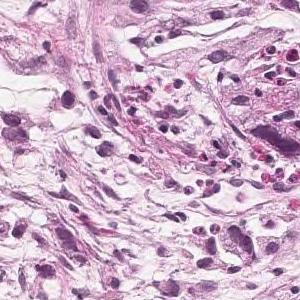
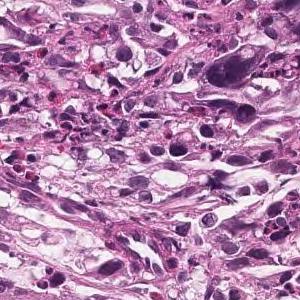
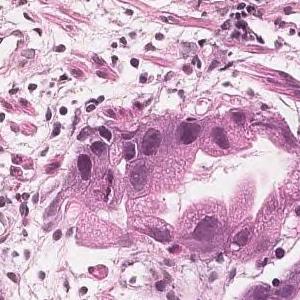
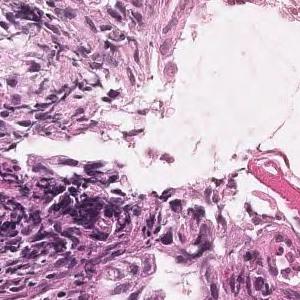
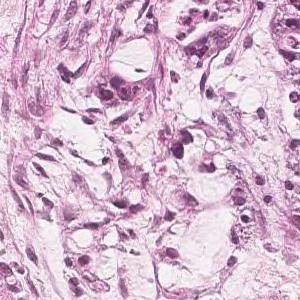
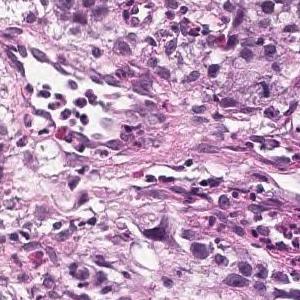
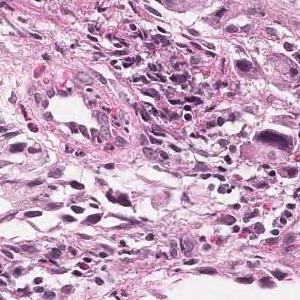
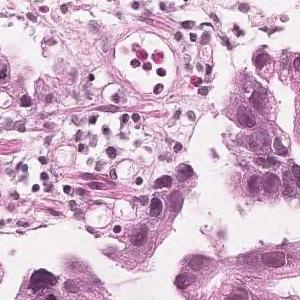
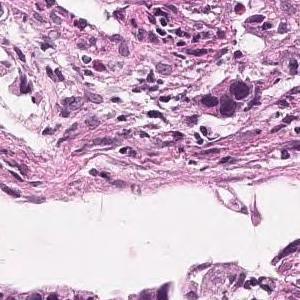
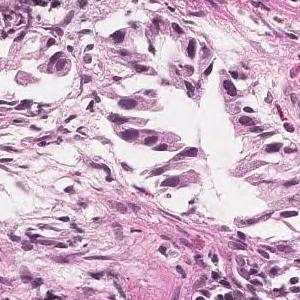
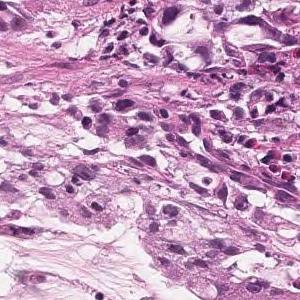
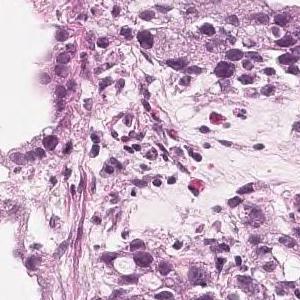
12 image tiles from a single gastric biopsy slide · each 300 × 300 pixels · H&E · 20× magnification.
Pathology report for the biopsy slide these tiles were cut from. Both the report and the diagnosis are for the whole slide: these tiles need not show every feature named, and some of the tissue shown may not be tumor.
Tumor tissue consisting of medium-sized, cord-like or irregular glandular infiltration is observed in the superficial epithelium. Poorly differentiated adenocarcinoma, non-solid type or moderately differentiated tubular adenocarcinoma
The term "non-solid type" comes from the Japanese Classification of Gastric Carcinoma.
